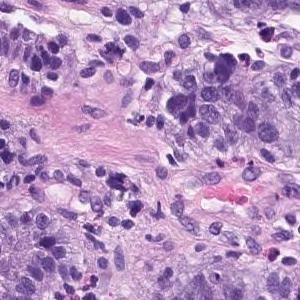
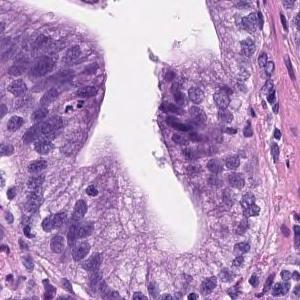
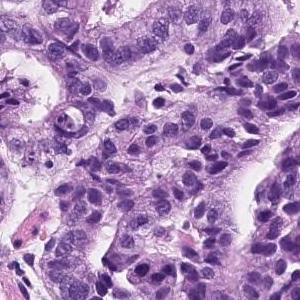
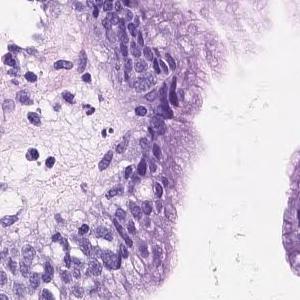
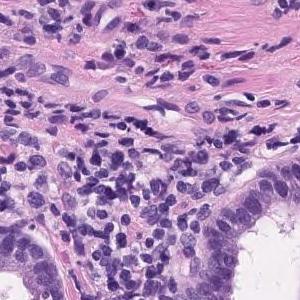
5 tiles from the same stomach biopsy slide, 300×300 px each, H&E.
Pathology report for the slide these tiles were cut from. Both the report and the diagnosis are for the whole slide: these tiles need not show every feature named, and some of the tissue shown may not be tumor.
Tumor tissue consisting of medium-sized and irregular ducts is observed infiltrating in the superficial epithelium. Tumor cells are highly columnar, with nuclei aligned basolaterally and polarized. Well differentiated tubular adenocarcinoma.
